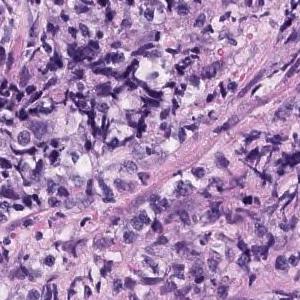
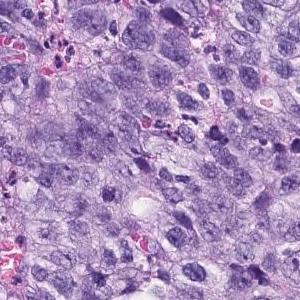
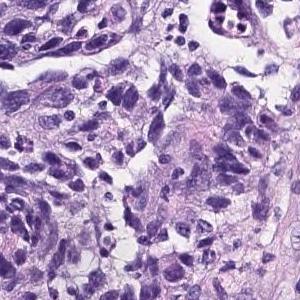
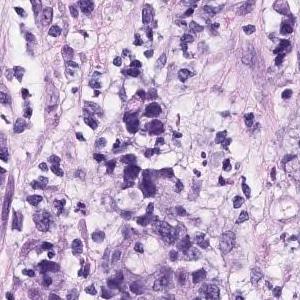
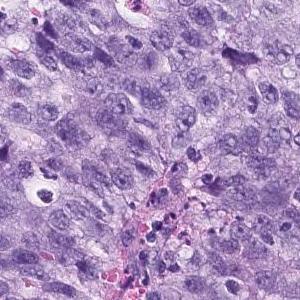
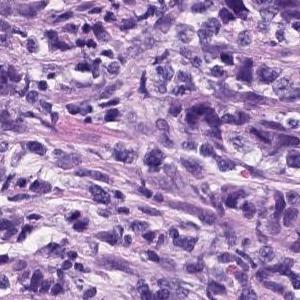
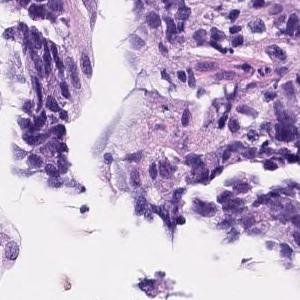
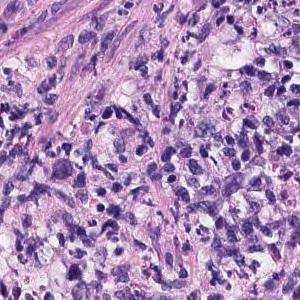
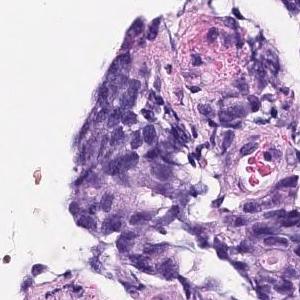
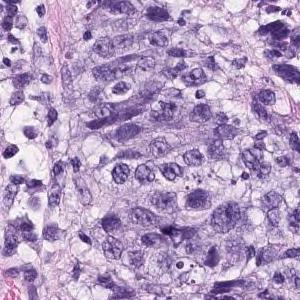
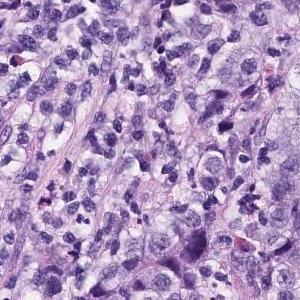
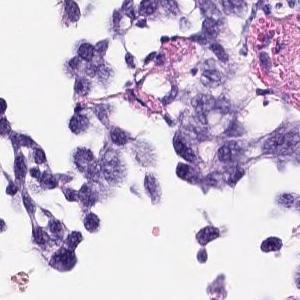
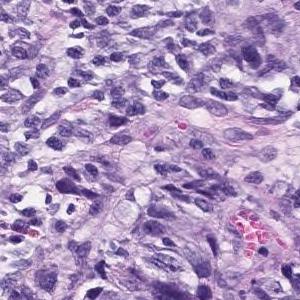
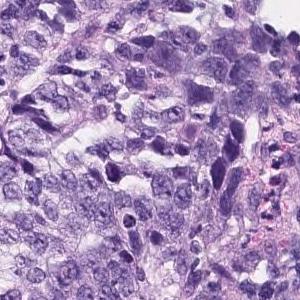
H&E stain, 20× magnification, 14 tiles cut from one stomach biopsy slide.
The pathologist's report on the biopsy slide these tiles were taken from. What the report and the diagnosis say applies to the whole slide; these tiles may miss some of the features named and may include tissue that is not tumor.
The superficial epithelium shows a large sheet-like shape, and some tumor tissue infiltrates with small irregular ducts. Poorly differentiated adenocarcinoma, solid-type
Subtype: Poorly differentiated adenocarcinoma, solid type, a category of the Japanese Classification of Gastric Carcinoma; in the WHO 2019 classification it is tubular adenocarcinoma, poorly differentiated.
